Scanned at ×20 · H&E · 12 tiles cut from one stomach biopsy slide · 300 × 300 pixels each.
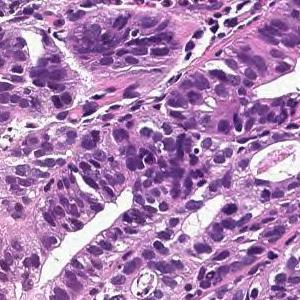
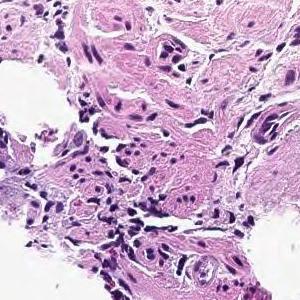
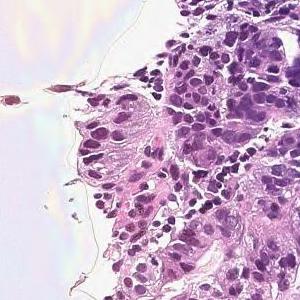
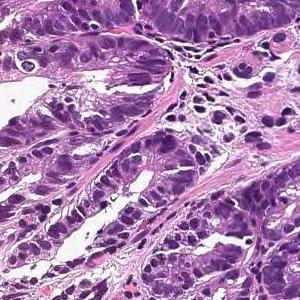
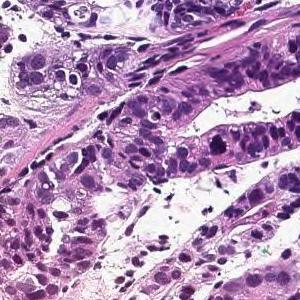
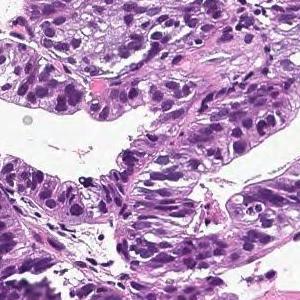
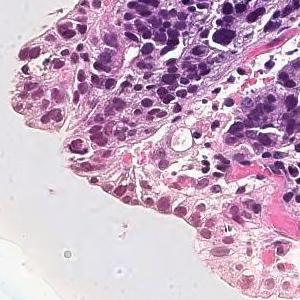
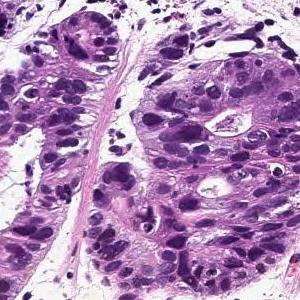
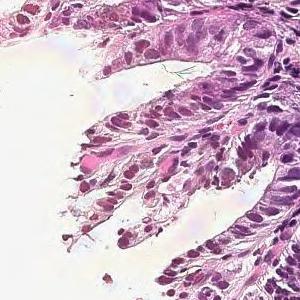
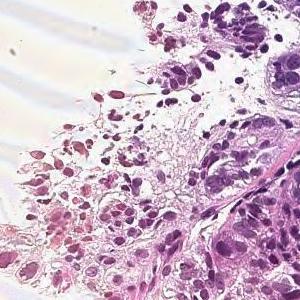
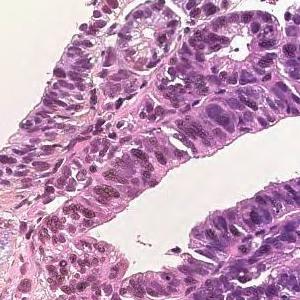
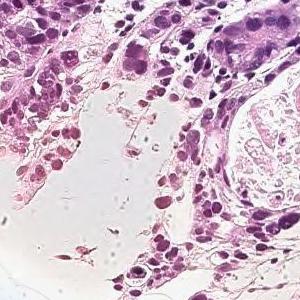
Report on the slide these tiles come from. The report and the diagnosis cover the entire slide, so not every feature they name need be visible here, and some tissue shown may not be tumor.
On the superficial epithelium, tumor tissue consisting of large, irregular glandular ducts partially fused and infiltrated is observed. Well to moderately differentiated tubular adenocarcinoma (well differentiated tubular adenocarcinoma, moderately differentiated tubular adenocarcinoma)
Classified as well to moderately differentiated tubular adenocarcinoma.
